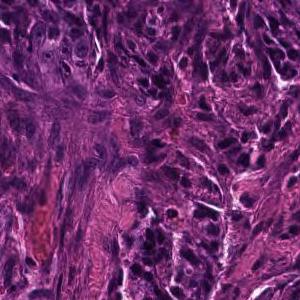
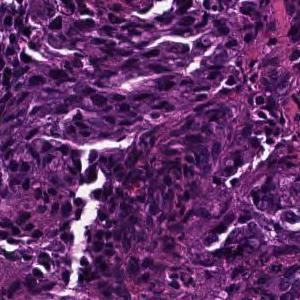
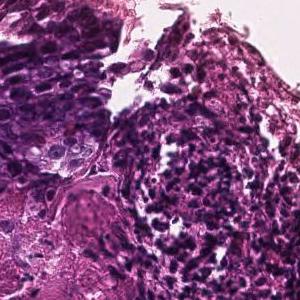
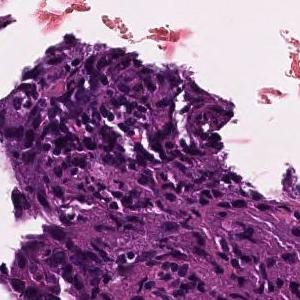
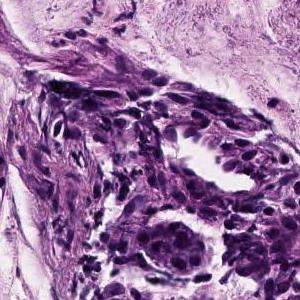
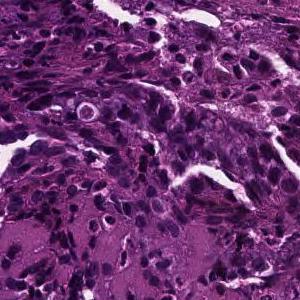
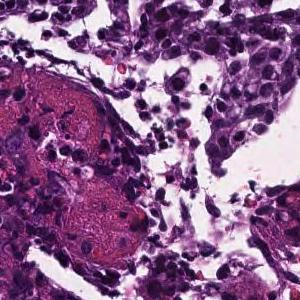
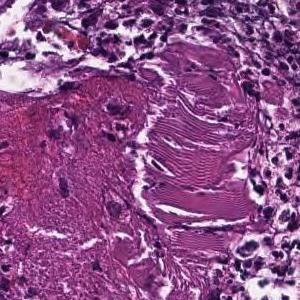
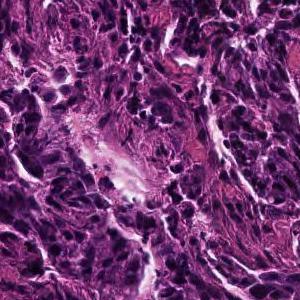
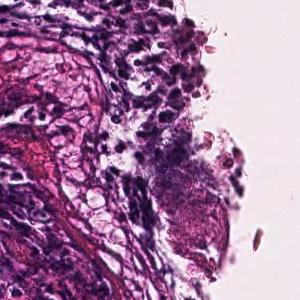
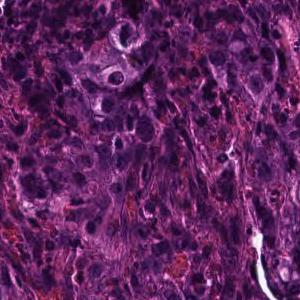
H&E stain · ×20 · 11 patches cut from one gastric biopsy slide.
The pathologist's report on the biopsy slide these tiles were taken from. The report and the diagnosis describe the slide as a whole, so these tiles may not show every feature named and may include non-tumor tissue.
Tumor tissue consisting of medium-sized, cord-like or irregular glandular infiltration is observed in the superficial epithelium. Poorly differentiated adenocarcinoma, non-solid type or moderately differentiated tubular adenocarcinoma
Tumor subtype: moderately to poorly differentiated adenocarcinoma.
The term "non-solid type" comes from the Japanese Classification of Gastric Carcinoma.
